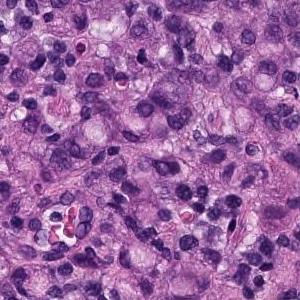
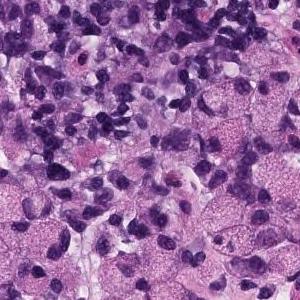
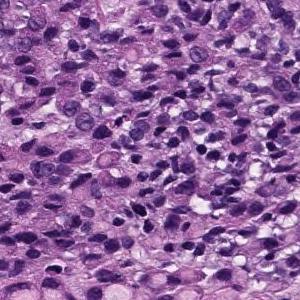
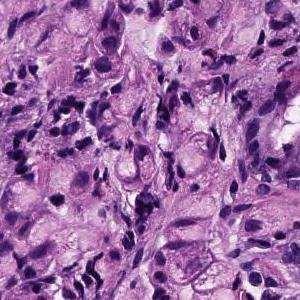
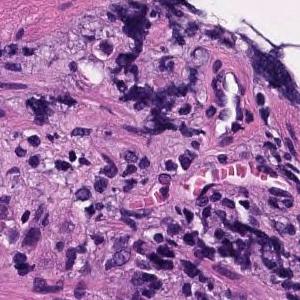
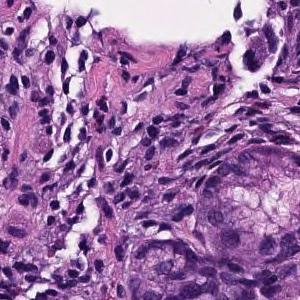
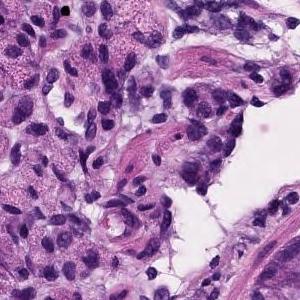
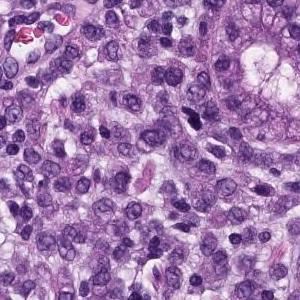
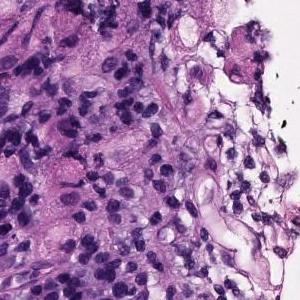
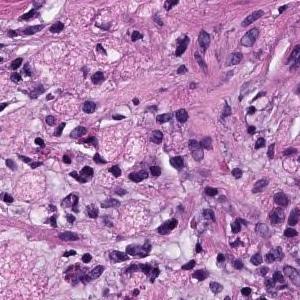
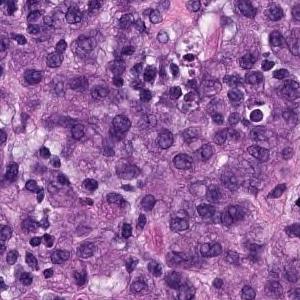
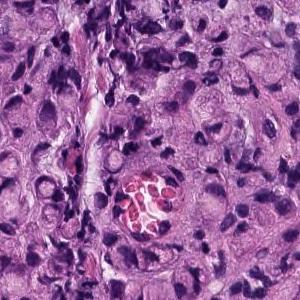
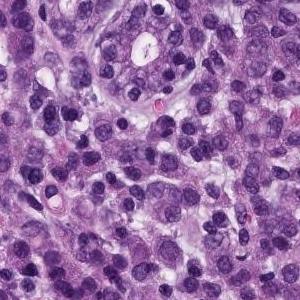
13 image tiles from a single gastric biopsy slide, 20× magnification.
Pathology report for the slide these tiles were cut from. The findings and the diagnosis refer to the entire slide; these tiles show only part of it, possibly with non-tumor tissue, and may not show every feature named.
The superficial epithelium shows a large sheet-like shape, and some tumor tissue infiltrates with small irregular ducts. Poorly differentiated adenocarcinoma, solid-type
Classified as poorly differentiated adenocarcinoma, solid type, a category of the Japanese Classification of Gastric Carcinoma; in the WHO 2019 classification it is tubular adenocarcinoma, poorly differentiated.
